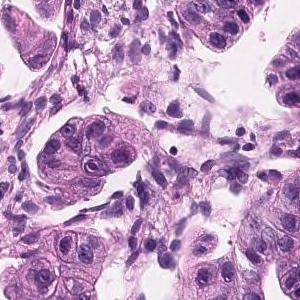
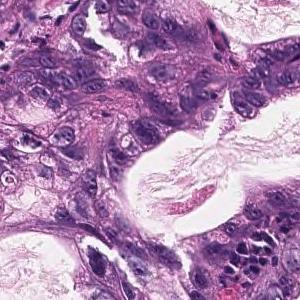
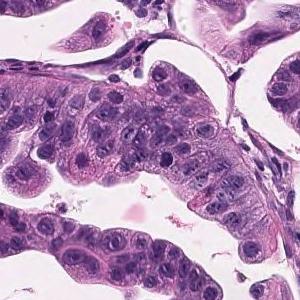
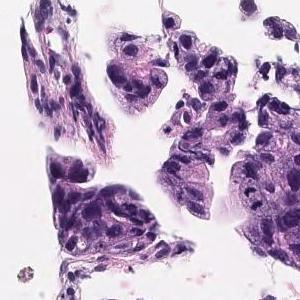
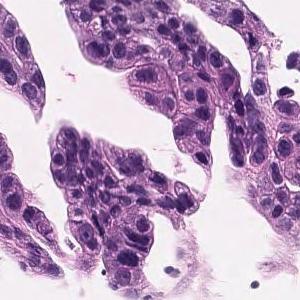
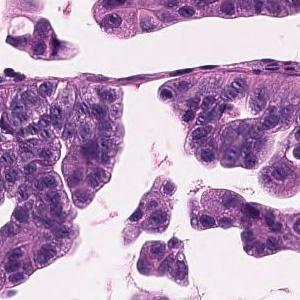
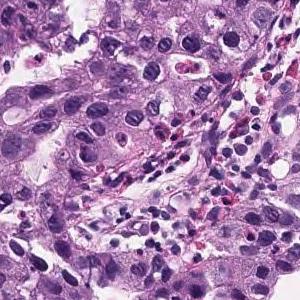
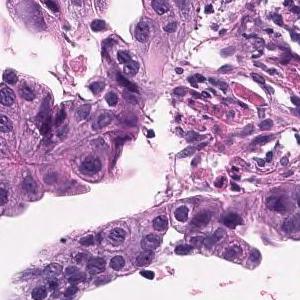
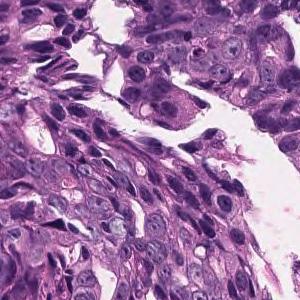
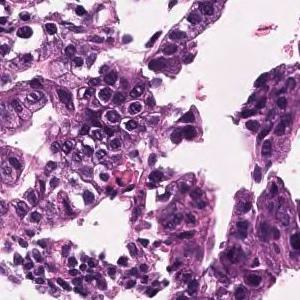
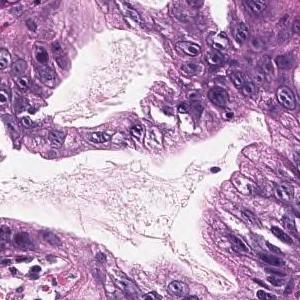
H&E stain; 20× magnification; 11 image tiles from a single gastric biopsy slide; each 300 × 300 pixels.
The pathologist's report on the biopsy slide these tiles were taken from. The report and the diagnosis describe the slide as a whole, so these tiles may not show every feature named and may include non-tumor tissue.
Tumor cells are large, highly columnar, large club-shaped nuclei, and are associated with chromatin aggregation. Papillary adenocarcinoma.
